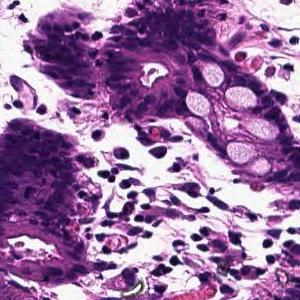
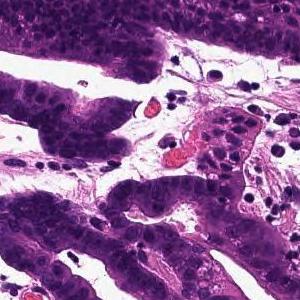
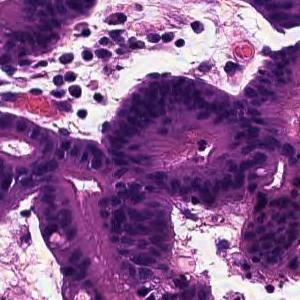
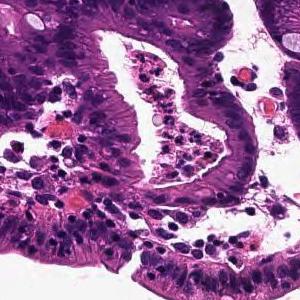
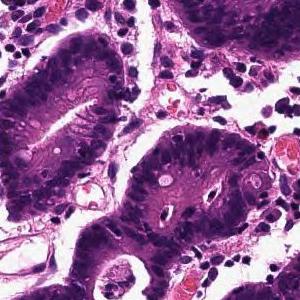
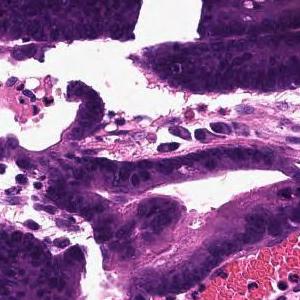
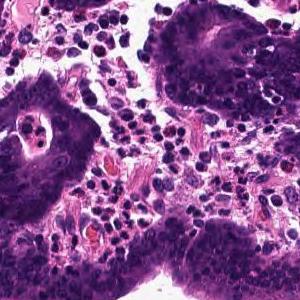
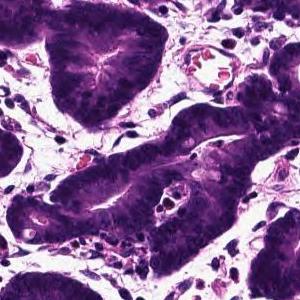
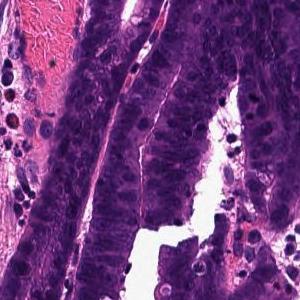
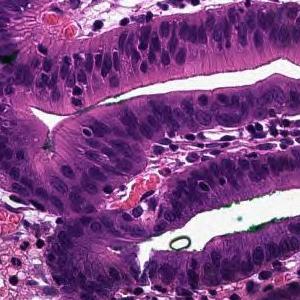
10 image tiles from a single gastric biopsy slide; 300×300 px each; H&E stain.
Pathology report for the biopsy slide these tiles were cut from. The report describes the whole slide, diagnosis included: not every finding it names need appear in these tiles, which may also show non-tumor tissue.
Tumor tissue that infiltrates by forming large papillary or large irregular glandular ducts is observed confined to the mucosa. Papillary adenocarcinoma
